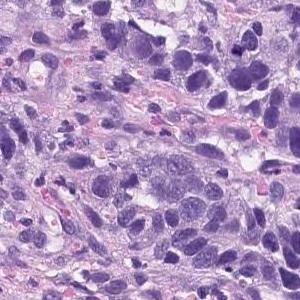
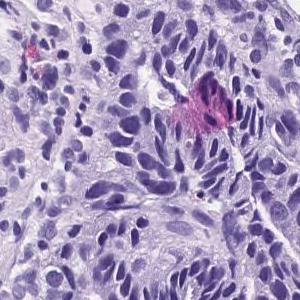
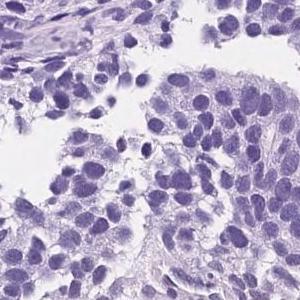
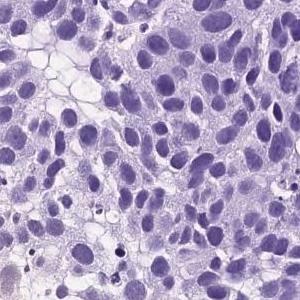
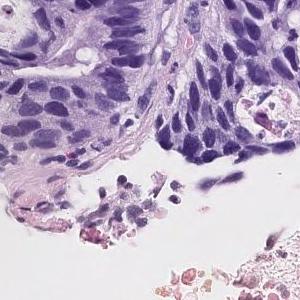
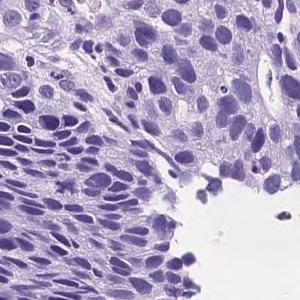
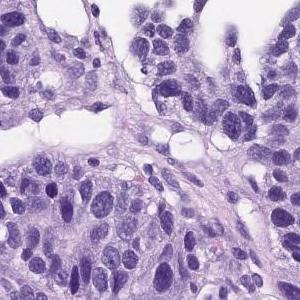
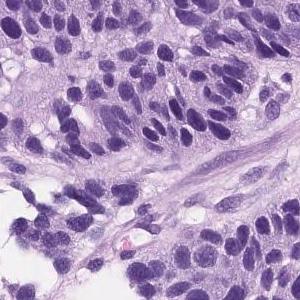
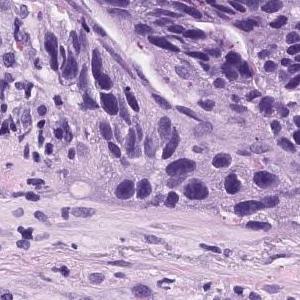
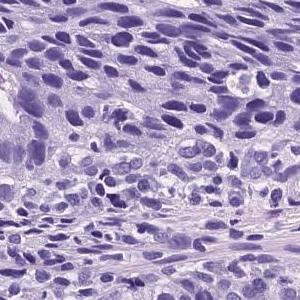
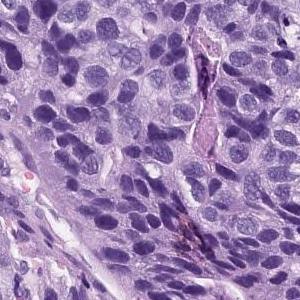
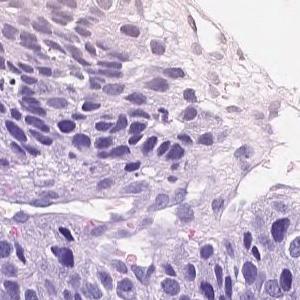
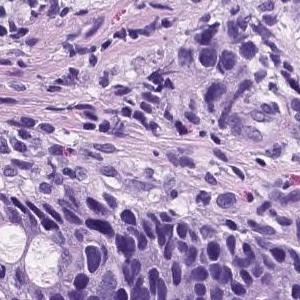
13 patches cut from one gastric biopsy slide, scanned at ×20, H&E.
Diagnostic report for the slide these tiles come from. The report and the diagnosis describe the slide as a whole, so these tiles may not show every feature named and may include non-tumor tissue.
Atypical cells with atypical nuclei forming small irregular atypical ducts and growing in a conformative manner. moderately differentiated tubular adenocarcinoma
Dataset label: moderately to poorly differentiated adenocarcinoma.
